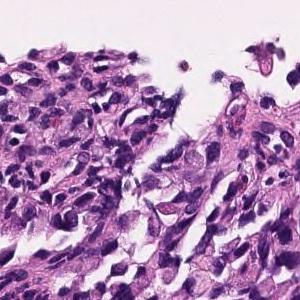
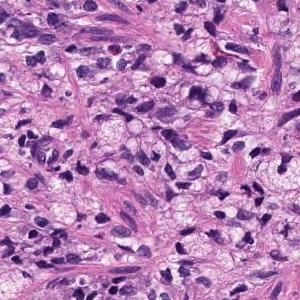
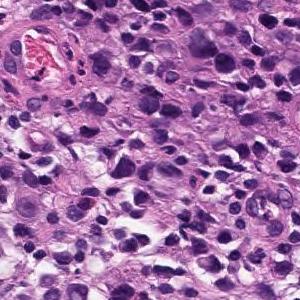
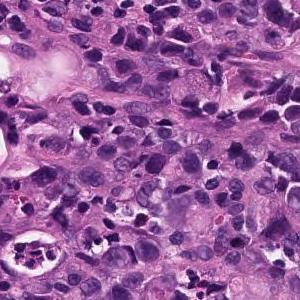
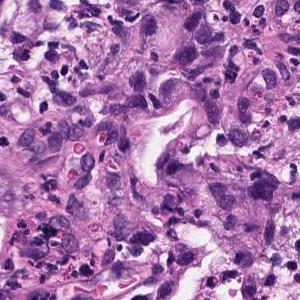
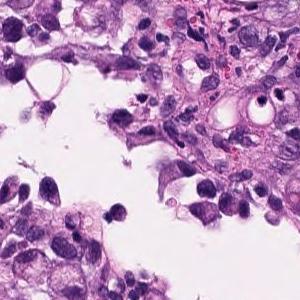
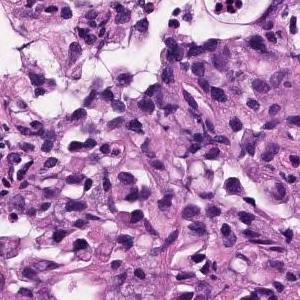
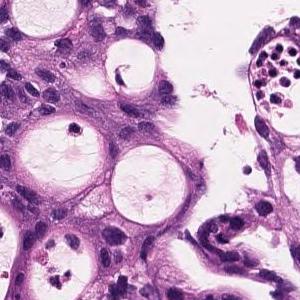
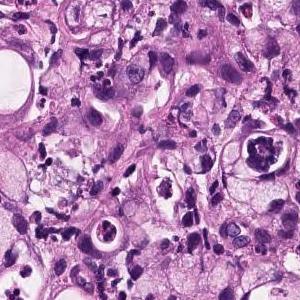
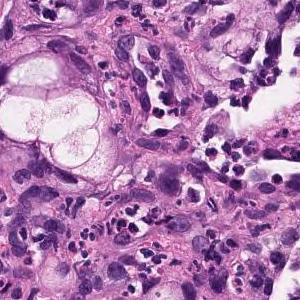
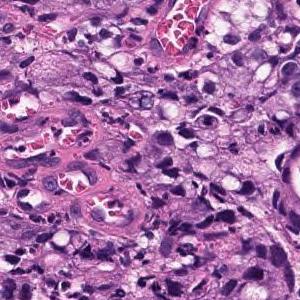
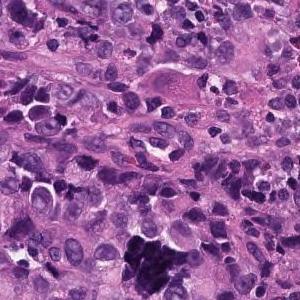
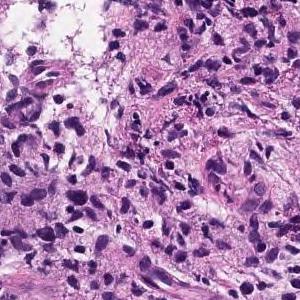
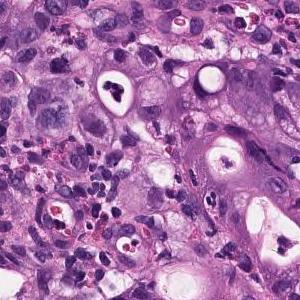
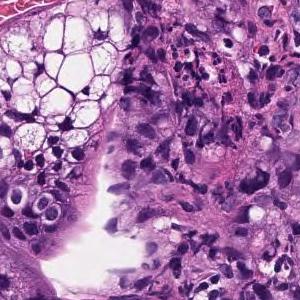
H&E stain; 15 tiles cut from one stomach biopsy slide; 300×300 px each.
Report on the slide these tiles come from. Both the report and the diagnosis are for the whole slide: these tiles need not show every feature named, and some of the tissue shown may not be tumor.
Atypical epithelium forms irregularly fused gland ducts and proliferates. Poorly differentiated adenocarcinoma.
Histological subtype: Poorly differentiated adenocarcinoma, non-solid type.
The term "non-solid type" comes from the Japanese Classification of Gastric Carcinoma.
